Hematoxylin and eosin stain · 9 patches cut from one gastric biopsy slide · each 300 × 300 pixels.
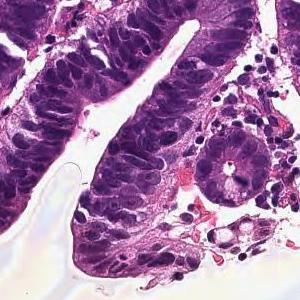
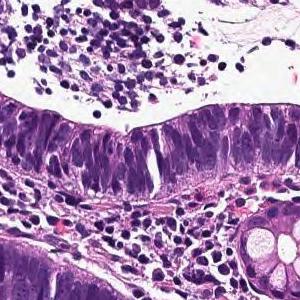
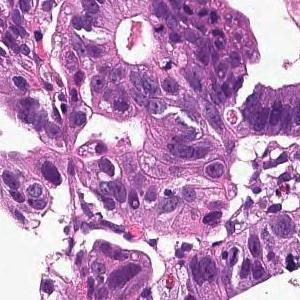
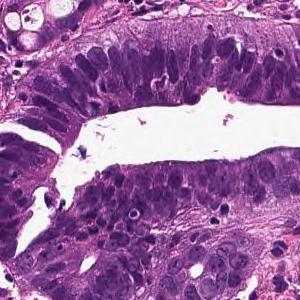
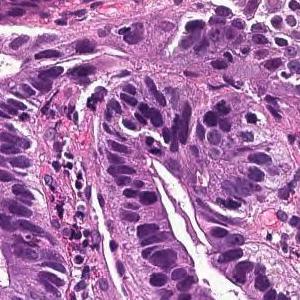
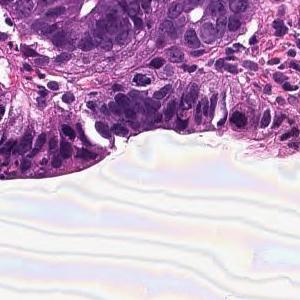
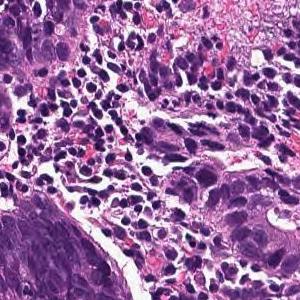
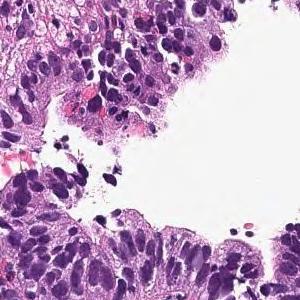
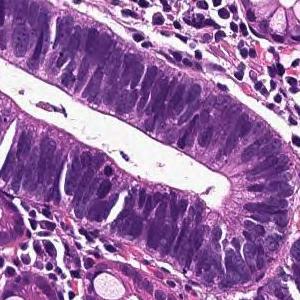
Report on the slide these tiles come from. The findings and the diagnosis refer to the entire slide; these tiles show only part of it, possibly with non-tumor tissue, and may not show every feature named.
Tumor cells are large, highly columnar, large club-shaped nuclei, and are associated with chromatin aggregation. Papillary adenocarcinoma.
